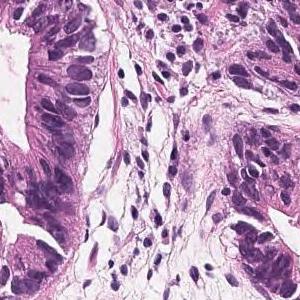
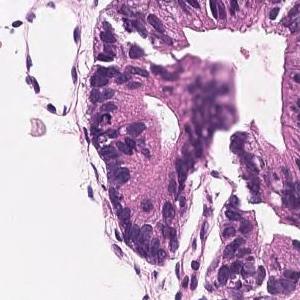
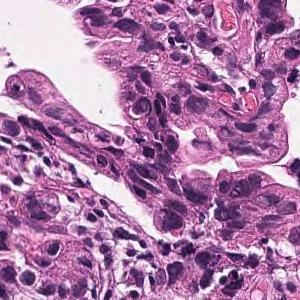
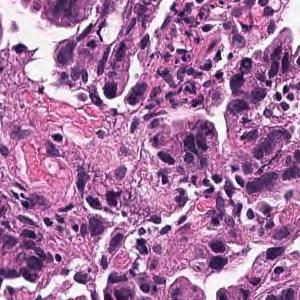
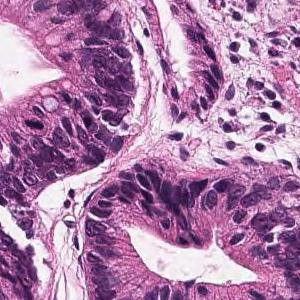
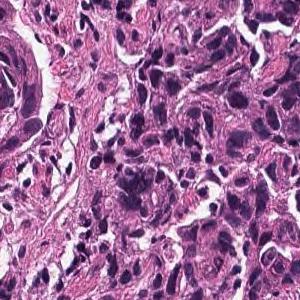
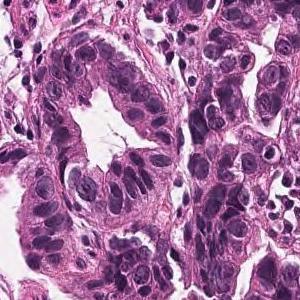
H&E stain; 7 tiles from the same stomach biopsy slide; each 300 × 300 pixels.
Pathology report for the slide these tiles were cut from. Both the report and the diagnosis are for the whole slide: these tiles need not show every feature named, and some of the tissue shown may not be tumor.
Medium to small, irregular glandular ducts are formed in the superficial epithelium, and in some cases, the glandular ducts are fused to show solid alveolar lesions and infiltrating tumor tissue is observed. Moderately to poorly differentiated adenocarcinoma.
